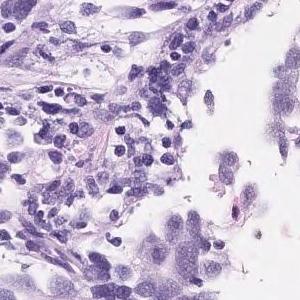
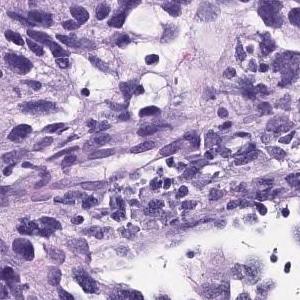
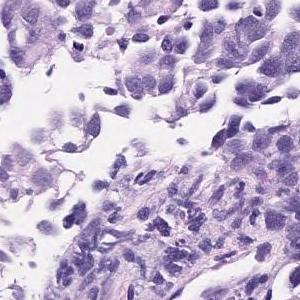
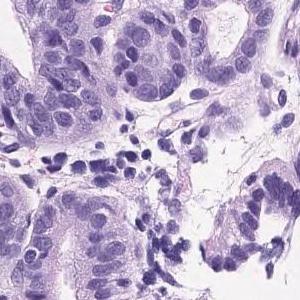
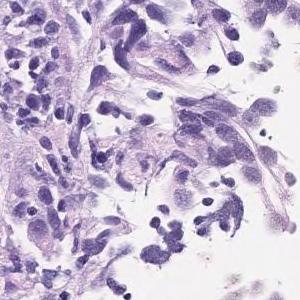
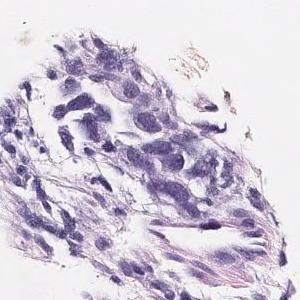
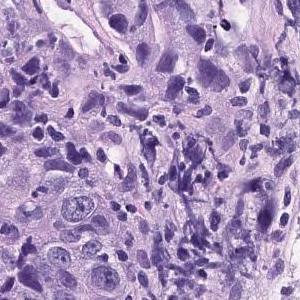
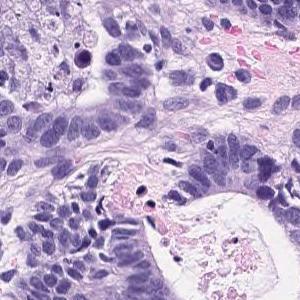
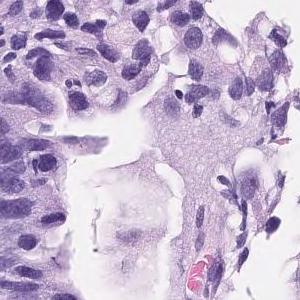
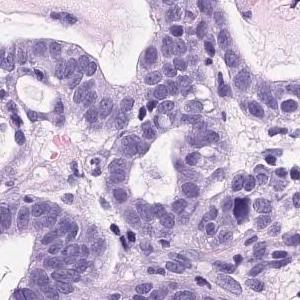
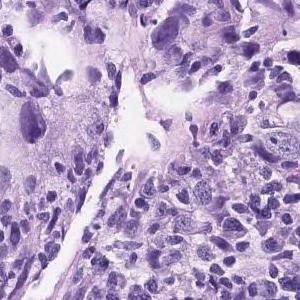
11 patches cut from one gastric biopsy slide · ×20.
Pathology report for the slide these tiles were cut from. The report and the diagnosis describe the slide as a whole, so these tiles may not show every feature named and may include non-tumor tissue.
The superficial epithelium shows a large sheet-like shape, and some tumor tissue infiltrates with small irregular ducts. Poorly differentiated adenocarcinoma, solid-type
Histological subtype: Poorly differentiated adenocarcinoma, solid type. This name comes from the Japanese Classification of Gastric Carcinoma; the WHO 2019 classification calls it tubular adenocarcinoma, poorly differentiated.
